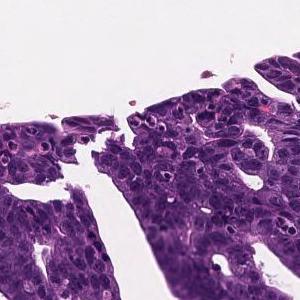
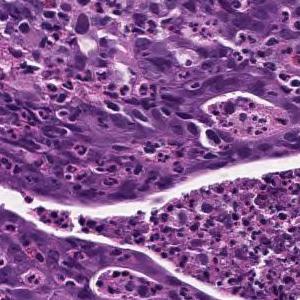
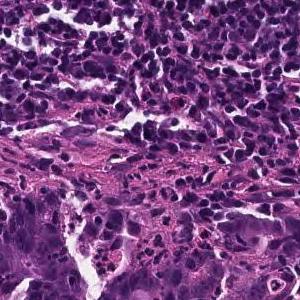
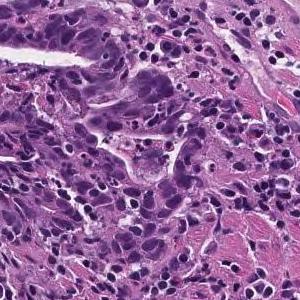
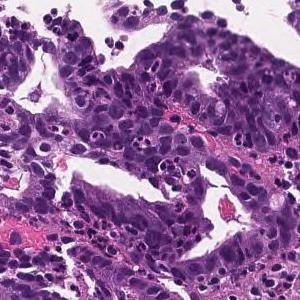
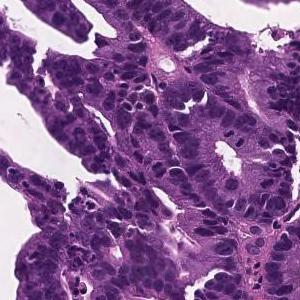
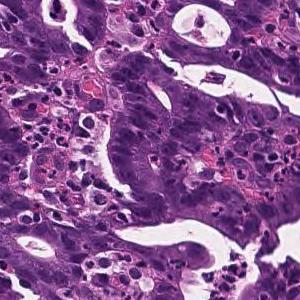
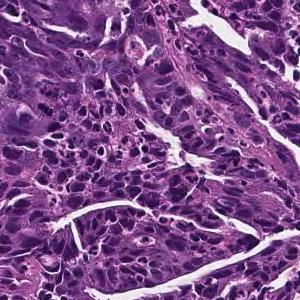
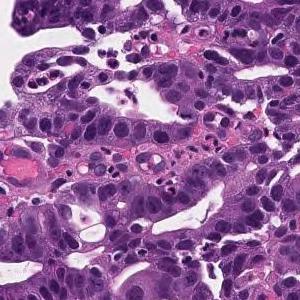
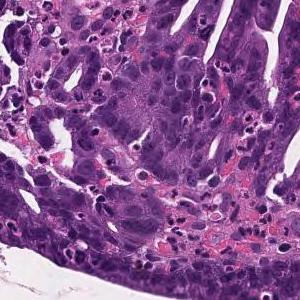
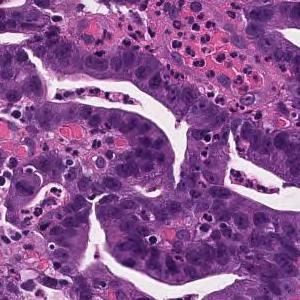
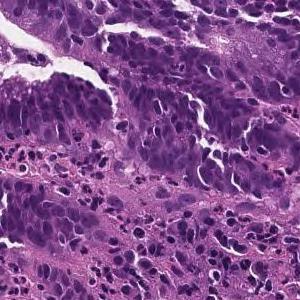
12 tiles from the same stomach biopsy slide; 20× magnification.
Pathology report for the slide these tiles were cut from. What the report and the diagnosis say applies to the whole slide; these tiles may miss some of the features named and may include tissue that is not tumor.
Tumor cells are large, highly columnar, large club-shaped nuclei, and are associated with chromatin aggregation. Papillary adenocarcinoma.
